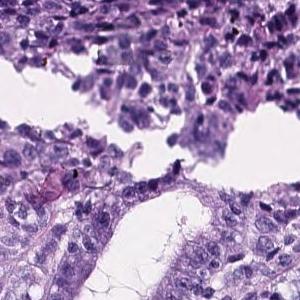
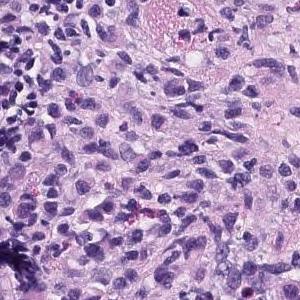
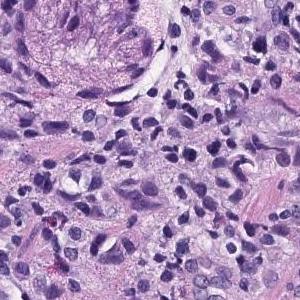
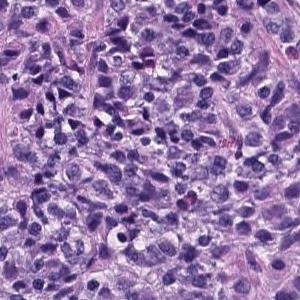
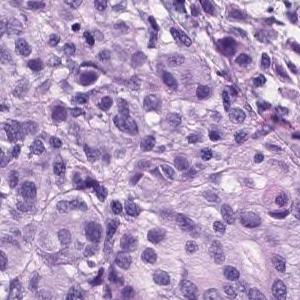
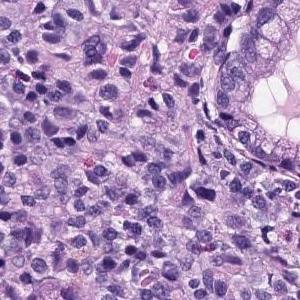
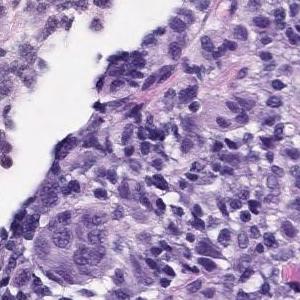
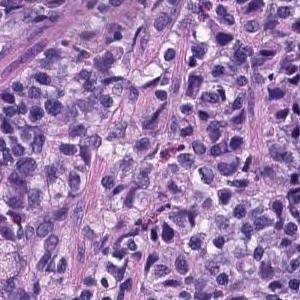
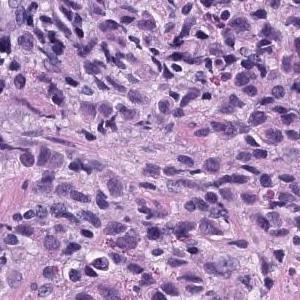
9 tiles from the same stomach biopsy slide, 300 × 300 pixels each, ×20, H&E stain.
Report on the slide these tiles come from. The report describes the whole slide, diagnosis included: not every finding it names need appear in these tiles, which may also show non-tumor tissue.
There are medium-sized atypical cells with marked nuclear swelling and increased N/C ratio, which grow into solid or isolated scattered cells. Poorly differentiated adenocarcinoma
Subtype: Poorly differentiated adenocarcinoma, solid type. This name comes from the Japanese Classification of Gastric Carcinoma; the WHO 2019 classification calls it tubular adenocarcinoma, poorly differentiated.
